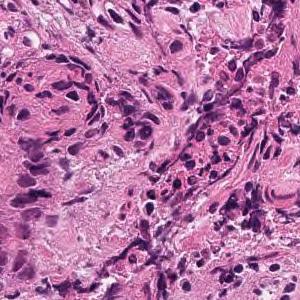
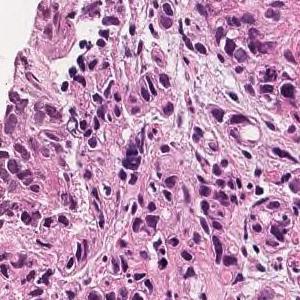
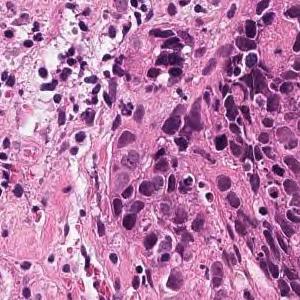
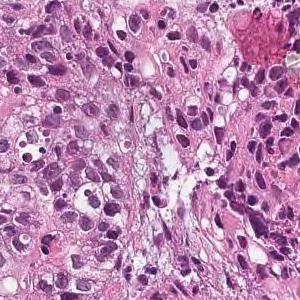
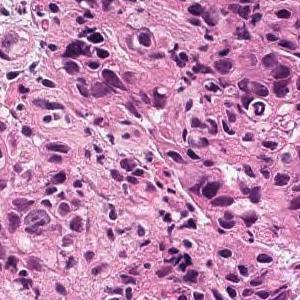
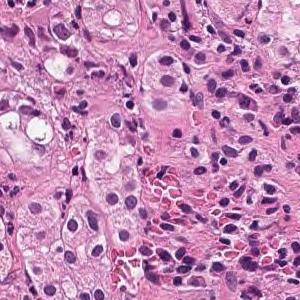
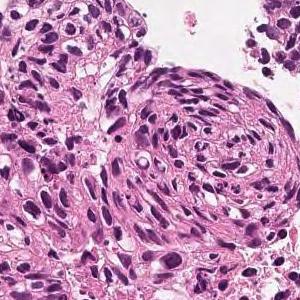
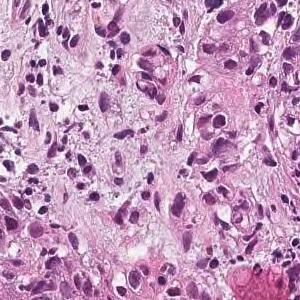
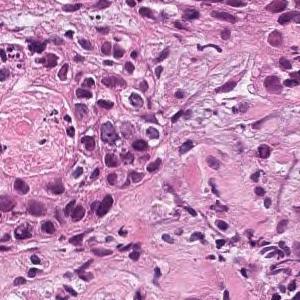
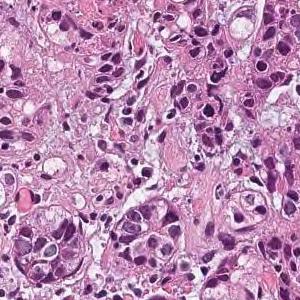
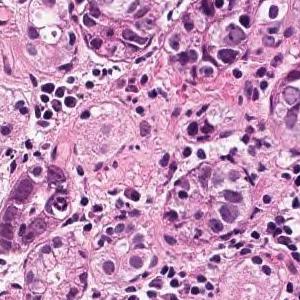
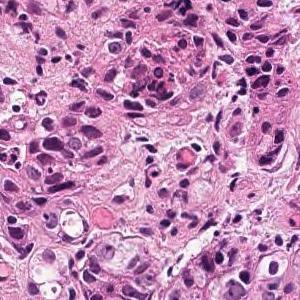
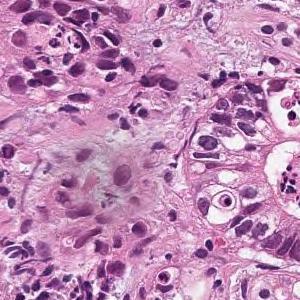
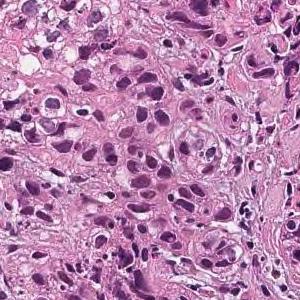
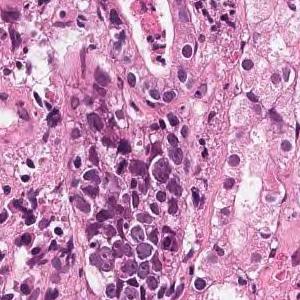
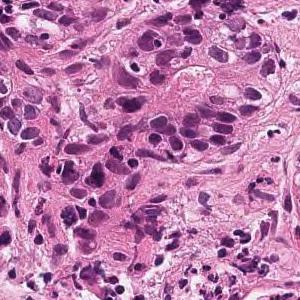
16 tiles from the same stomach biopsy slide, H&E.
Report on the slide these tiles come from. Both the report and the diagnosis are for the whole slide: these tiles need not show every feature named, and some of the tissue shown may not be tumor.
Medium to small, irregular glandular ducts are formed in the superficial epithelium, and in some cases, the glandular ducts are fused to show solid alveolar lesions and infiltrating tumor tissue is observed. Moderately to poorly differentiated adenocarcinoma.
